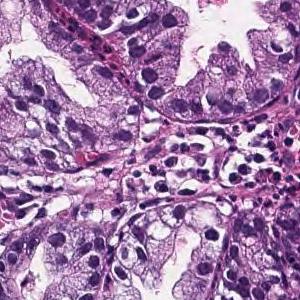
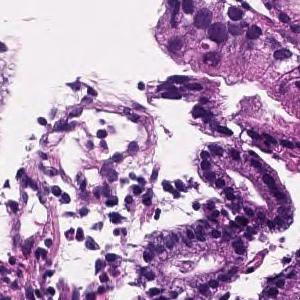
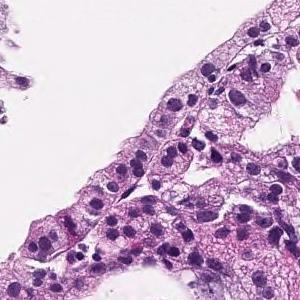
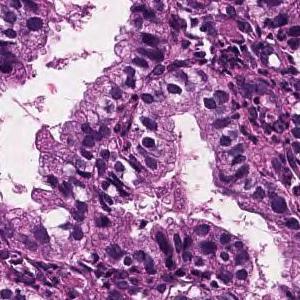
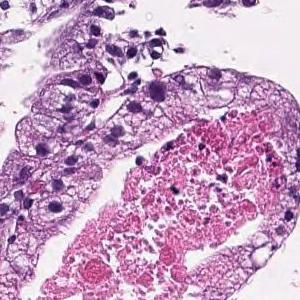
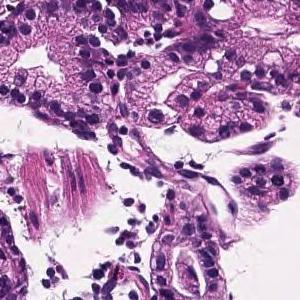
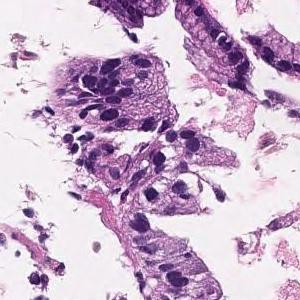
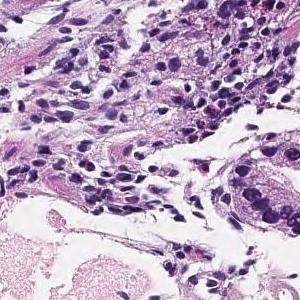
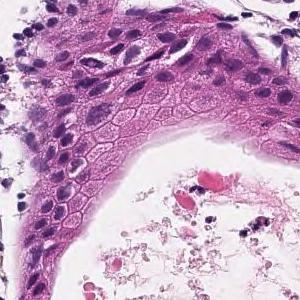
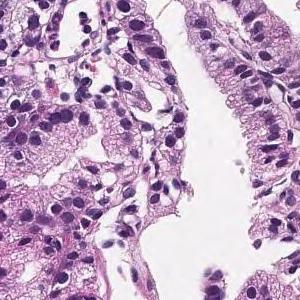
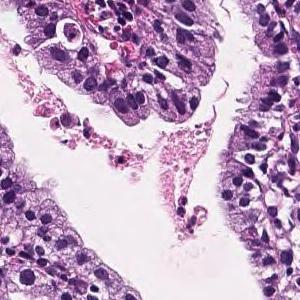
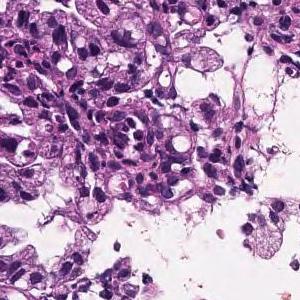
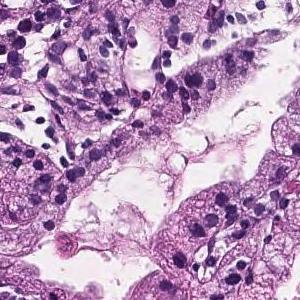
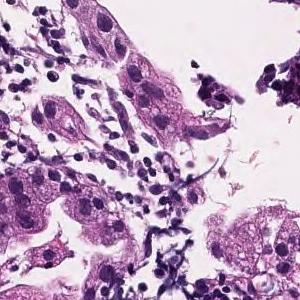
H&E, scanned at ×20, 14 tiles cut from one stomach biopsy slide, 300×300 px each.
Diagnostic report for the slide these tiles come from. Both the report and the diagnosis are for the whole slide: these tiles need not show every feature named, and some of the tissue shown may not be tumor.
In the superficial epithelium, tumor tissue that infiltrates by forming medium-sized papillary or small irregular ducts is observed. Papillary adenocarcinoma
